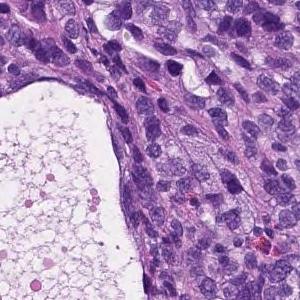
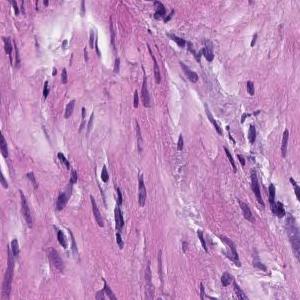
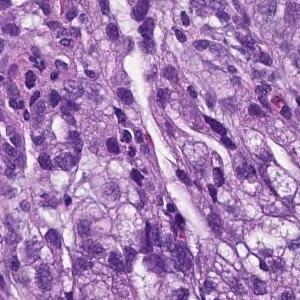
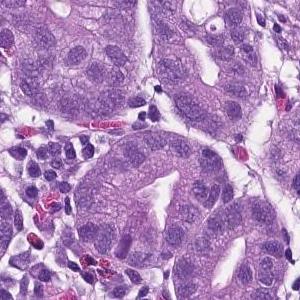
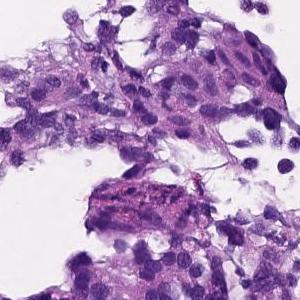
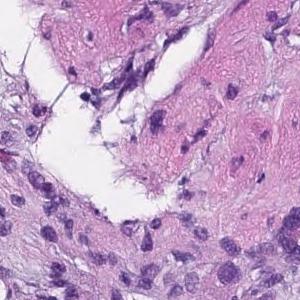
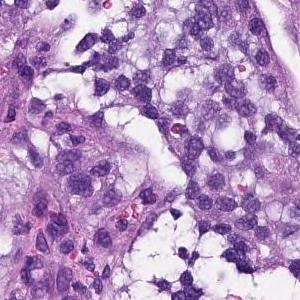
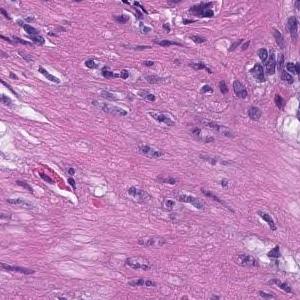
H&E; scanned at ×20; 8 image tiles from a single gastric biopsy slide.
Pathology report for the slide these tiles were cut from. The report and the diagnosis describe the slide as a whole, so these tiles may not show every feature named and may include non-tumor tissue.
From the superficial epithelium to the muscularis mucosae, tumor tissue consisting of medium-sized and irregular glandular ducts infiltrating is observed. Well differentiated tubular adenocarcinoma
